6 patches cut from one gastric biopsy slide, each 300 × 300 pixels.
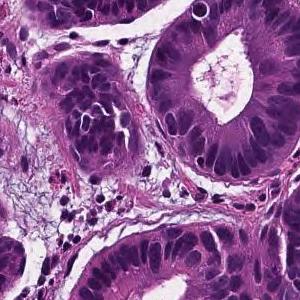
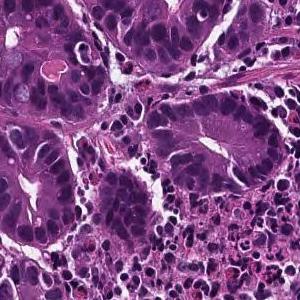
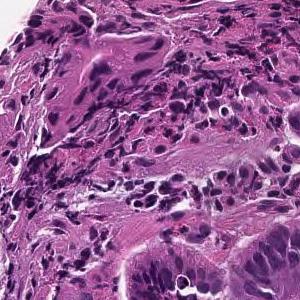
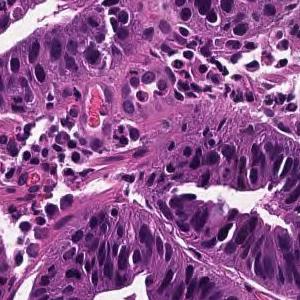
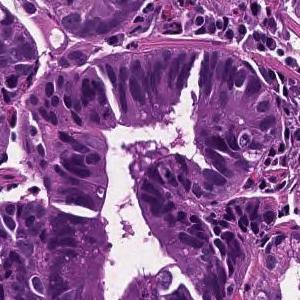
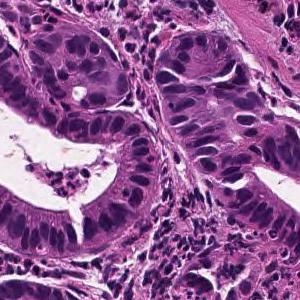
The pathologist's report on the biopsy slide these tiles were taken from. The report describes the whole slide, diagnosis included: not every finding it names need appear in these tiles, which may also show non-tumor tissue.
From the superficial epithelium to the muscularis mucosae, tumor tissue consisting of medium-sized and irregular glandular ducts infiltrating is observed. Well differentiated tubular adenocarcinoma
